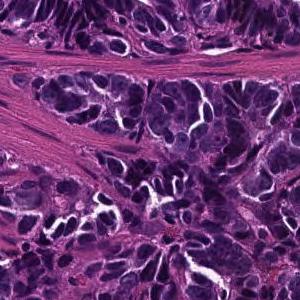
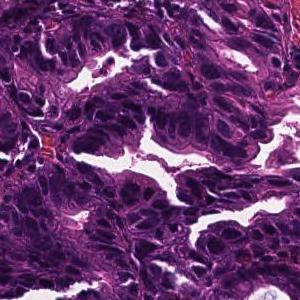
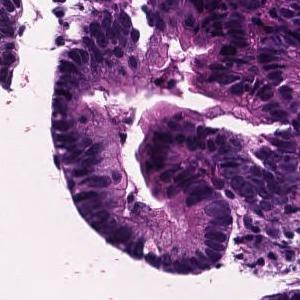
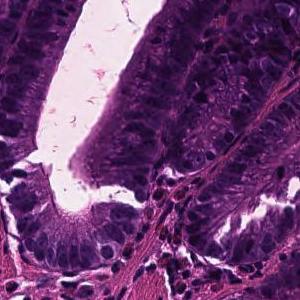
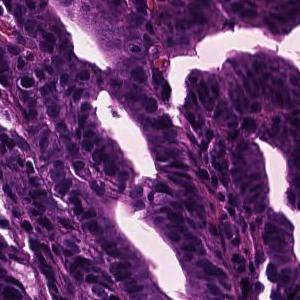
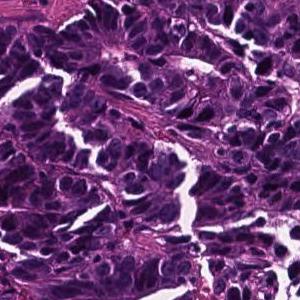
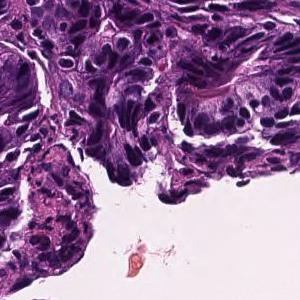
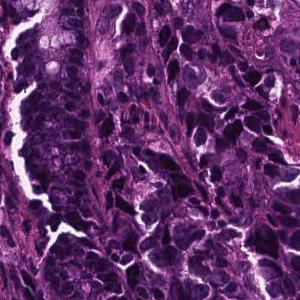
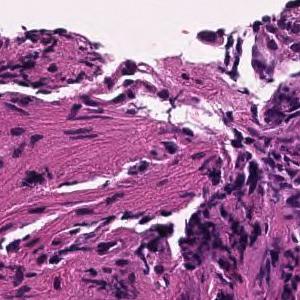
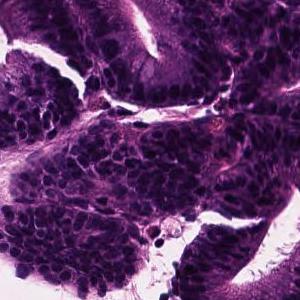
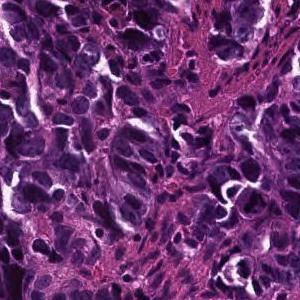
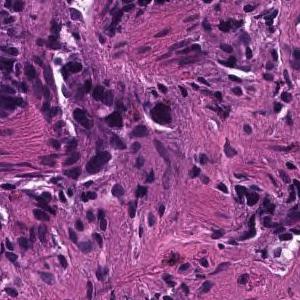
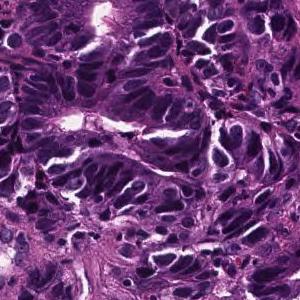
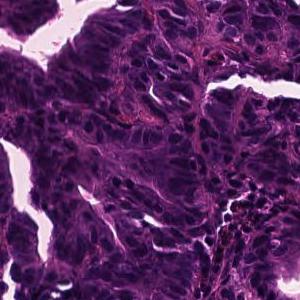
H&E · 14 image tiles from a single gastric biopsy slide · each 300 × 300 pixels.
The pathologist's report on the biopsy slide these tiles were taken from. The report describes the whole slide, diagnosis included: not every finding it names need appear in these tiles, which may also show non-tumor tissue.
In the superficial epithelium, tumor tissue that invades by forming medium-sized to small, irregular ducts is observed. moderately differentiated tubular adenocarcinoma.
